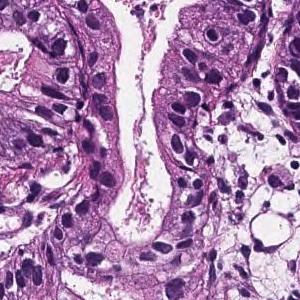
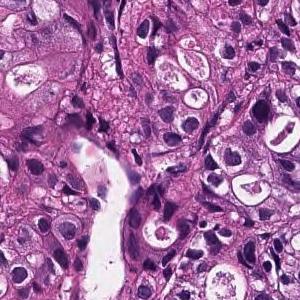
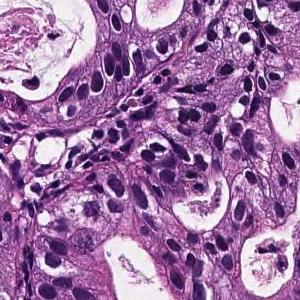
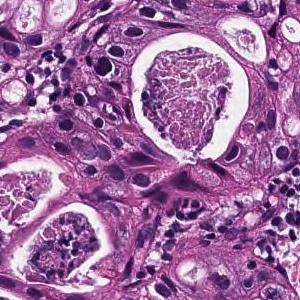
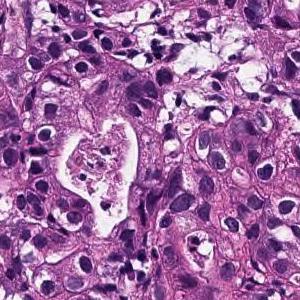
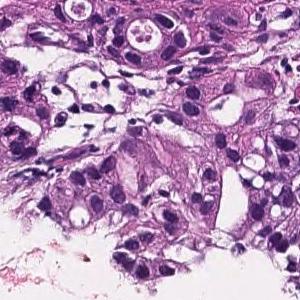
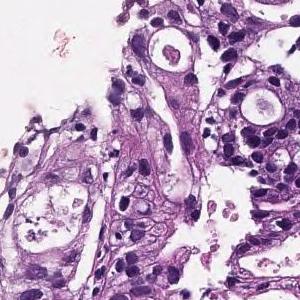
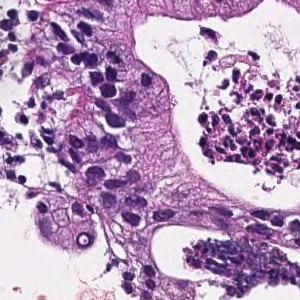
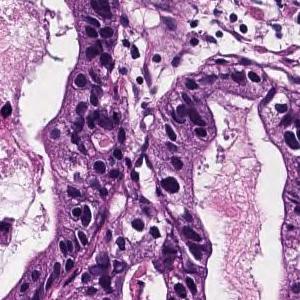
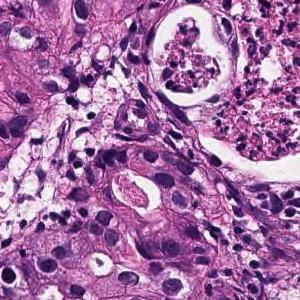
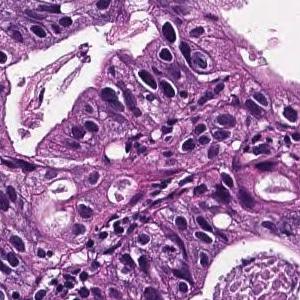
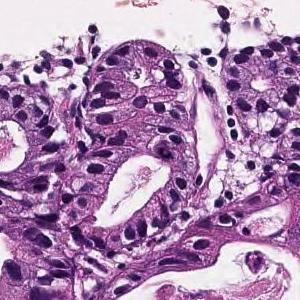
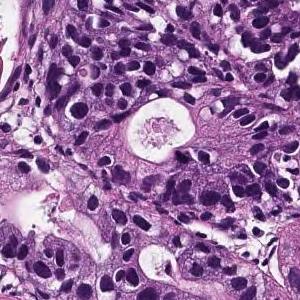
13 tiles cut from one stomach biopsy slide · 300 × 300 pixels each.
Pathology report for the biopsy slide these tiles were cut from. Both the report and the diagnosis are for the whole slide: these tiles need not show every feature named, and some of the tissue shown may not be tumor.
From the superficial epithelium to the muscularis mucosae, tumor tissue infiltrating by forming medium-sized irregular gland ducts is observed. Large tumor cells exhibit large nucleus and hyperchromatism. Well differentiated tubular adenocarcinoma
